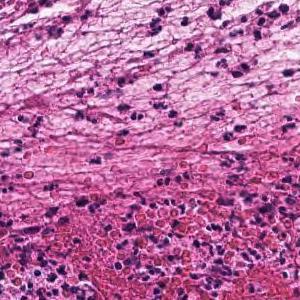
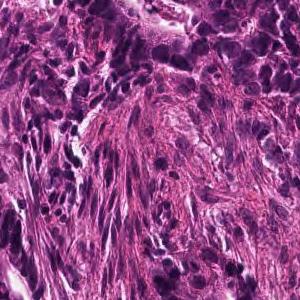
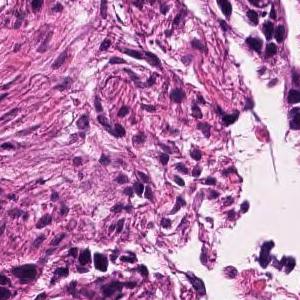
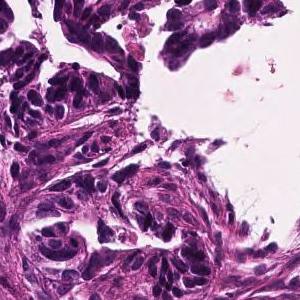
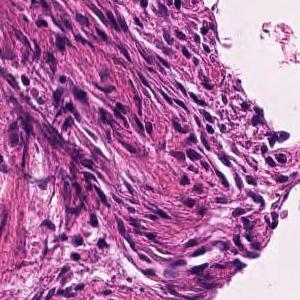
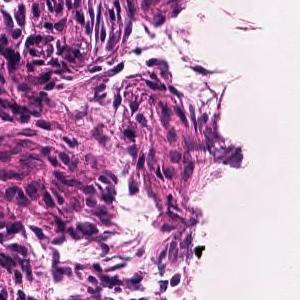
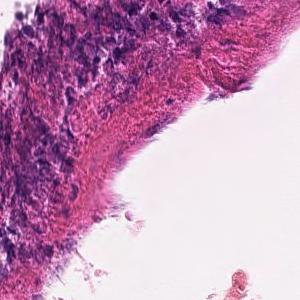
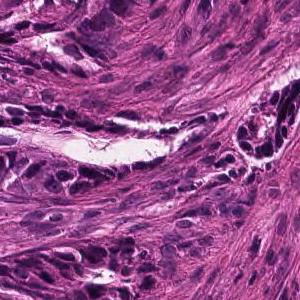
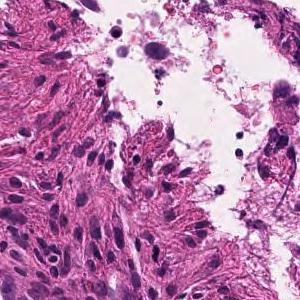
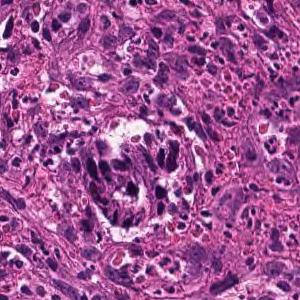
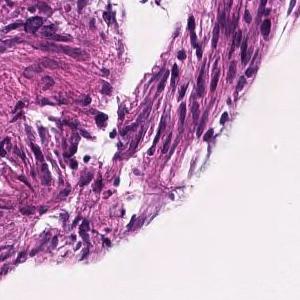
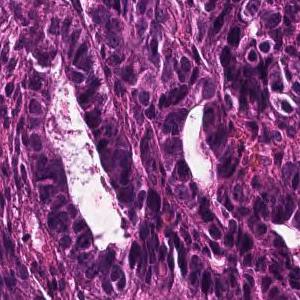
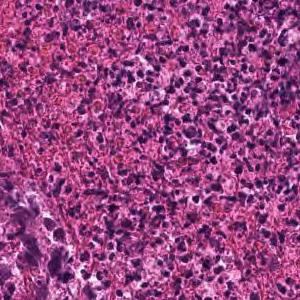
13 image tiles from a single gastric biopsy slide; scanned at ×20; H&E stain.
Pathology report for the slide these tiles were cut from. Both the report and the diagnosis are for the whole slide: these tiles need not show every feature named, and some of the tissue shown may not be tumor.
In the superficial epithelium, tumor tissue that invades by forming medium-sized to small, irregular ducts is observed. moderately differentiated tubular adenocarcinoma.
